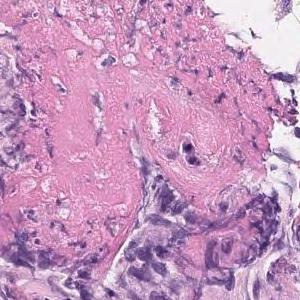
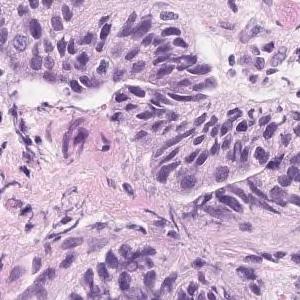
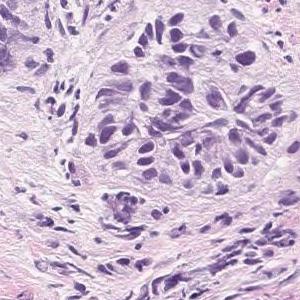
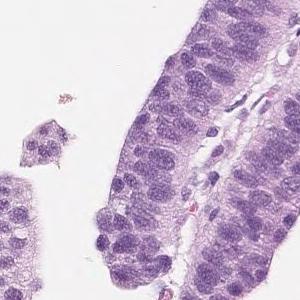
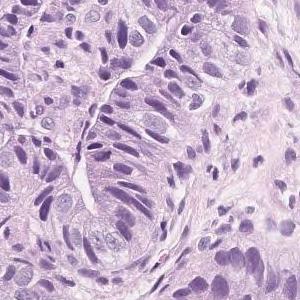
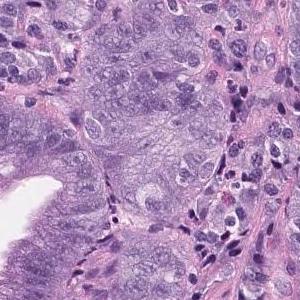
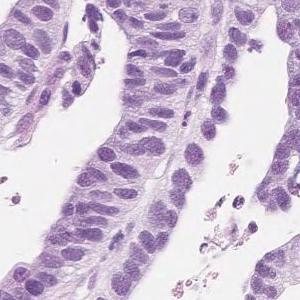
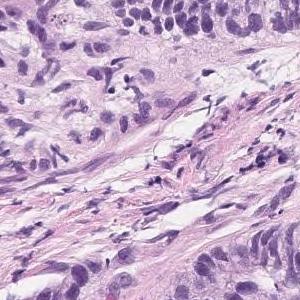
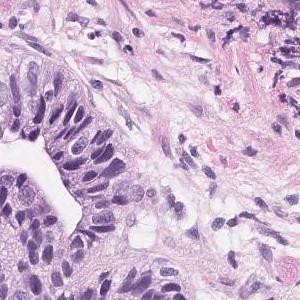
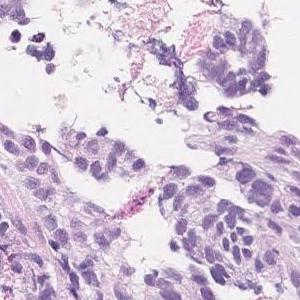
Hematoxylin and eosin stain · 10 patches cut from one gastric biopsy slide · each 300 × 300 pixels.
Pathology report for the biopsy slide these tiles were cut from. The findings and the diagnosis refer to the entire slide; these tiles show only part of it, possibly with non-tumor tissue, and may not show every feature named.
Tumor tissue in which highly columnar atypical epithelial cells with nuclear enlargement and increased nuclear chromatin show papillary to papillary ductal structure and proliferate is observed. Papillary adenocarcinoma.
